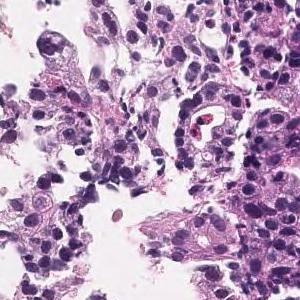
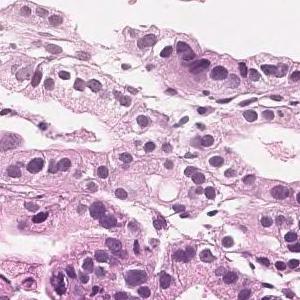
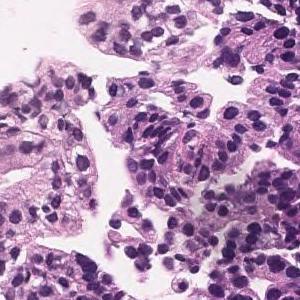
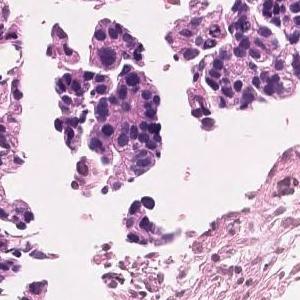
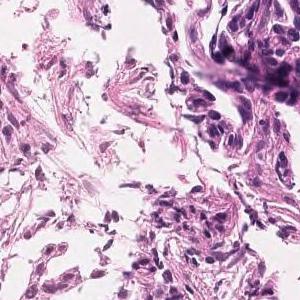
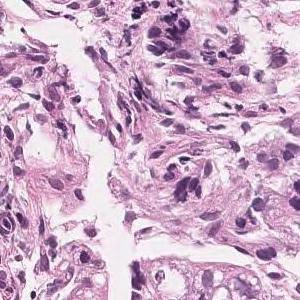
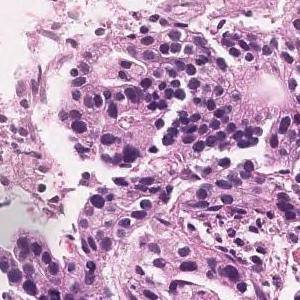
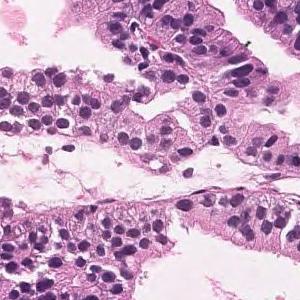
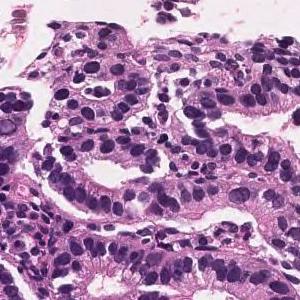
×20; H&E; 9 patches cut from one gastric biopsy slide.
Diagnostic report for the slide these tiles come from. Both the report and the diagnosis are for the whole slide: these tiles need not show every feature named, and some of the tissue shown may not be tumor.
In the superficial epithelium, tumor tissue that invades by forming medium-sized to small, irregular ducts is observed. moderately differentiated tubular adenocarcinoma.
